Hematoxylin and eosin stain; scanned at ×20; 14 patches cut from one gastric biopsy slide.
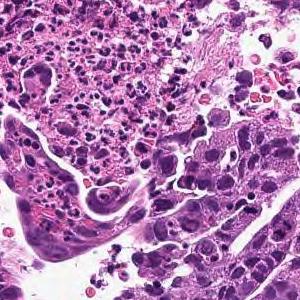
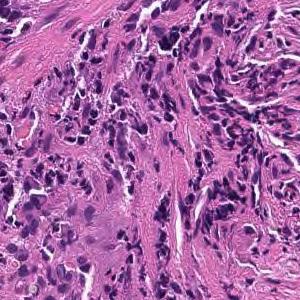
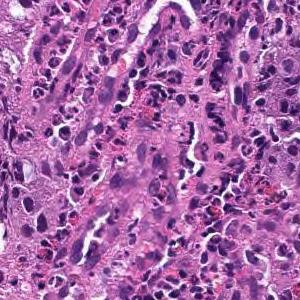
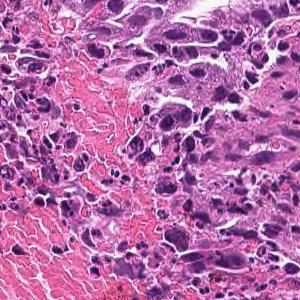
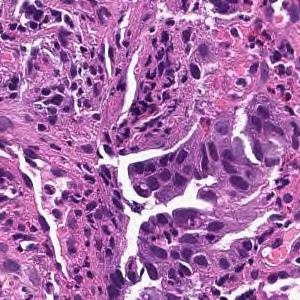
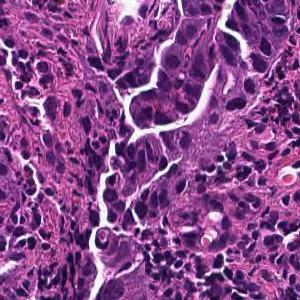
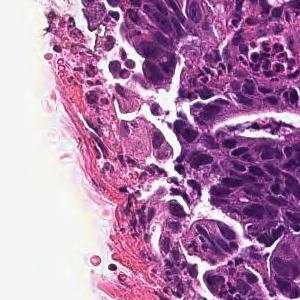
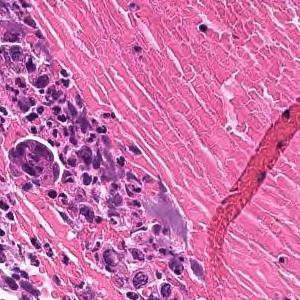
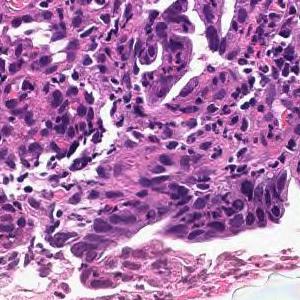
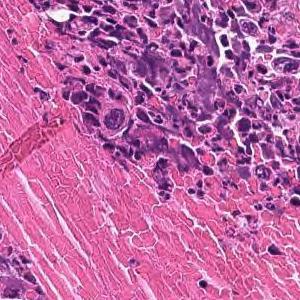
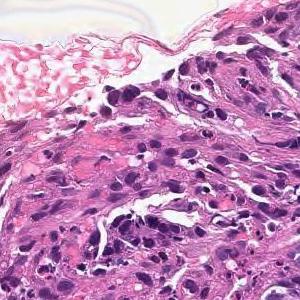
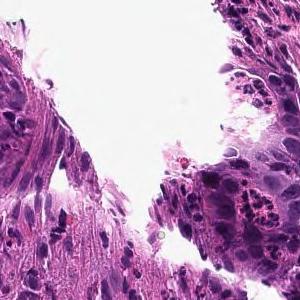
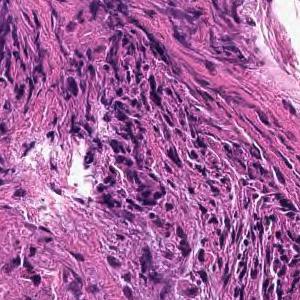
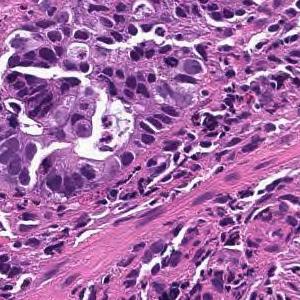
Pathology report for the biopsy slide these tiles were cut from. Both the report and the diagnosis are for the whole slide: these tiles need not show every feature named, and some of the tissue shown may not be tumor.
In the superficial epithelium, tumor tissue that invades by forming medium-sized to small, irregular ducts is observed. moderately differentiated tubular adenocarcinoma.
